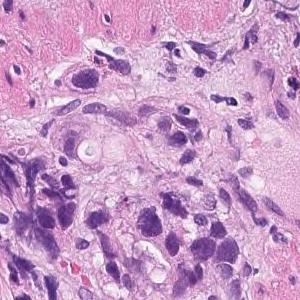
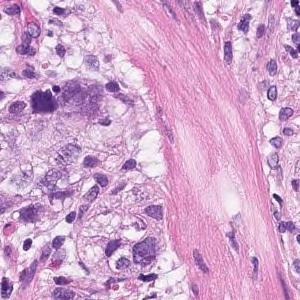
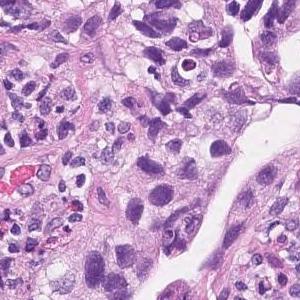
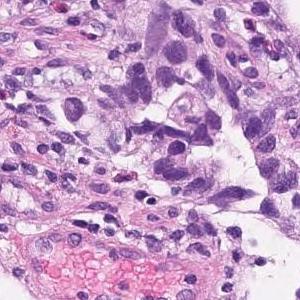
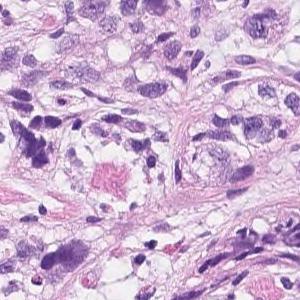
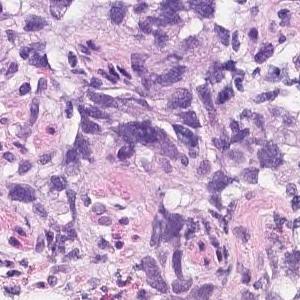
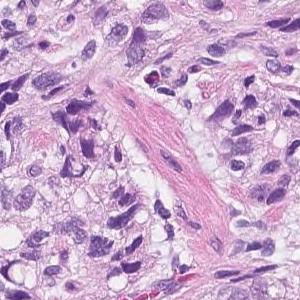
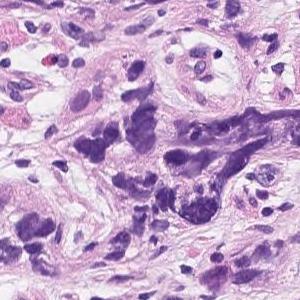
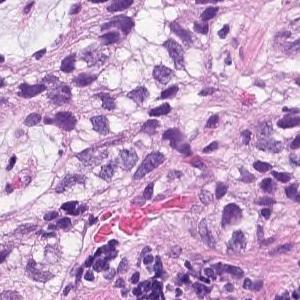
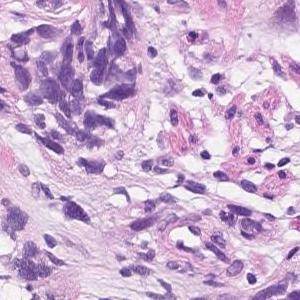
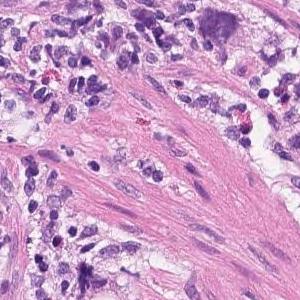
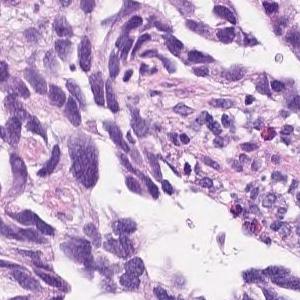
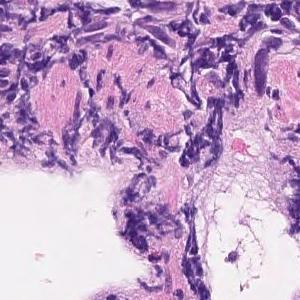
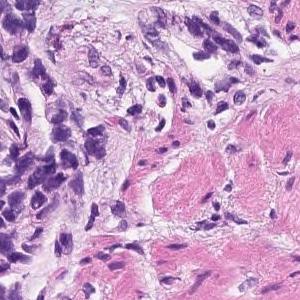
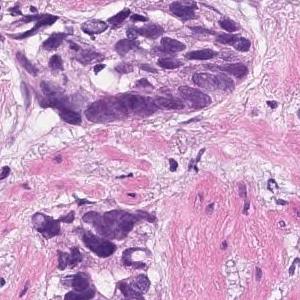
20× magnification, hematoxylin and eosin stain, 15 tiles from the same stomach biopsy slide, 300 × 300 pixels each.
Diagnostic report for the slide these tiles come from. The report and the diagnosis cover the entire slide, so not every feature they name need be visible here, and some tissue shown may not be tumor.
In the superficial epithelium, tumor tissue that invades by forming medium-sized to small, irregular ducts is observed. Moderately differentiated adenocarcinoma.
Subtype: Moderately differentiated tubular adenocarcinoma.
